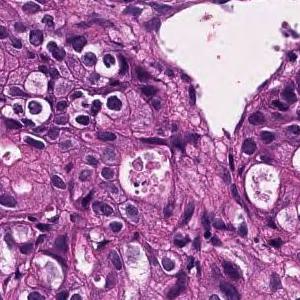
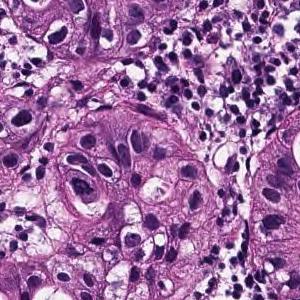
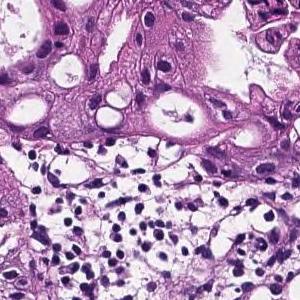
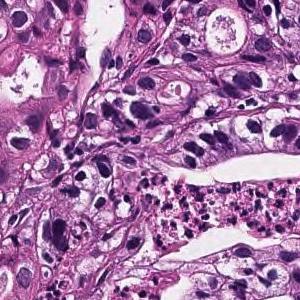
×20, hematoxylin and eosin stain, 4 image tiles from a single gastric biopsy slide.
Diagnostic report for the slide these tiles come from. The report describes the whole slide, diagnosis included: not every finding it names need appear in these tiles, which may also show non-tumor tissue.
From the superficial epithelium to the muscularis mucosae, tumor tissue infiltrating by forming medium-sized irregular gland ducts is observed. Large tumor cells exhibit large nucleus and hyperchromatism. Well differentiated tubular adenocarcinoma
